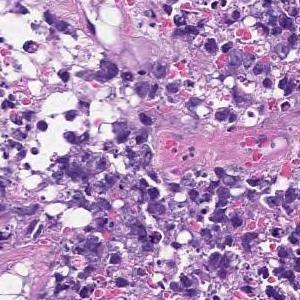
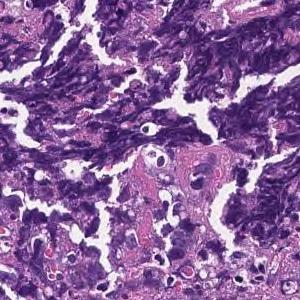
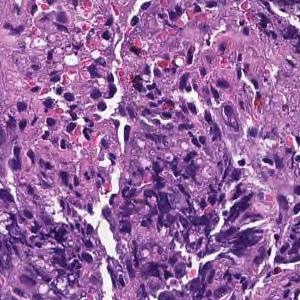
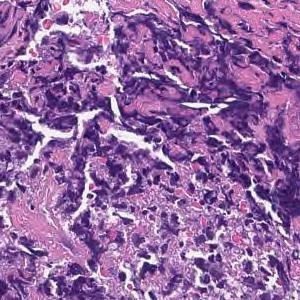
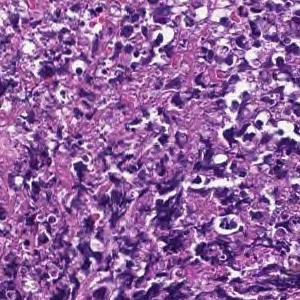
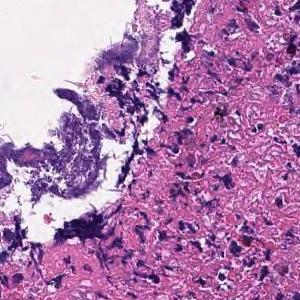
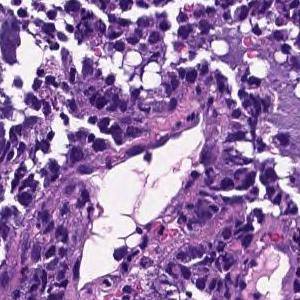
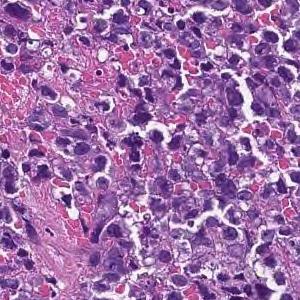
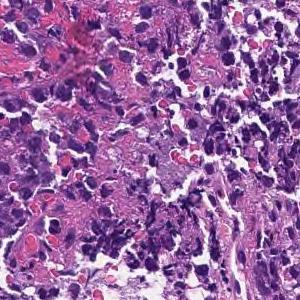
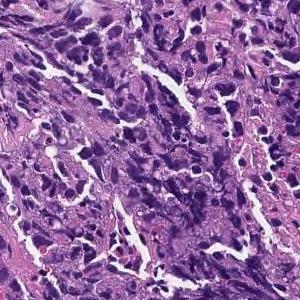
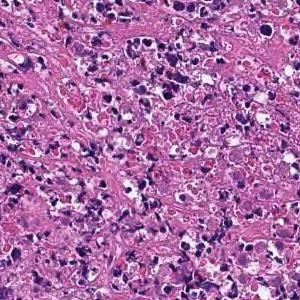
20× magnification; H&E stain; 11 patches cut from one gastric biopsy slide.
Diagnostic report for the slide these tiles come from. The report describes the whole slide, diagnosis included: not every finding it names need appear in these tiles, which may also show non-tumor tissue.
Most are composed of coagulative necrotic tissue, but some show a large sheet-like shape, and some show tumor tissue infiltrating with a small cord-like structure. Poorly differentiated adenocarcinoma, solid-type
Tumor subtype: poorly differentiated adenocarcinoma, solid type (Japanese Classification of Gastric Carcinoma). The WHO 2019 equivalent is tubular adenocarcinoma, poorly differentiated.
